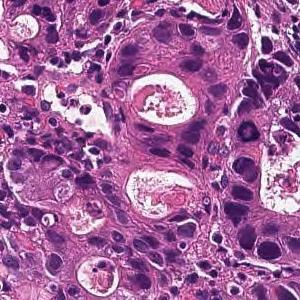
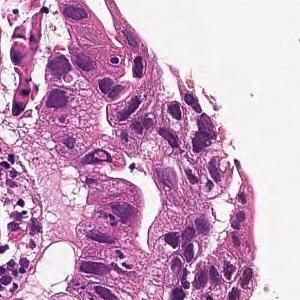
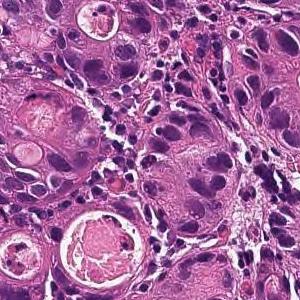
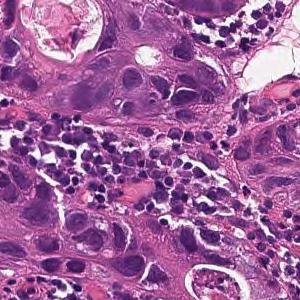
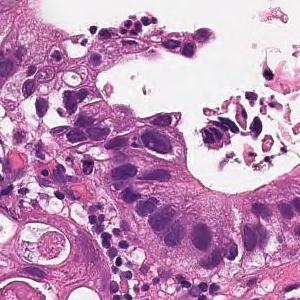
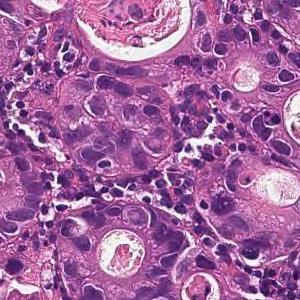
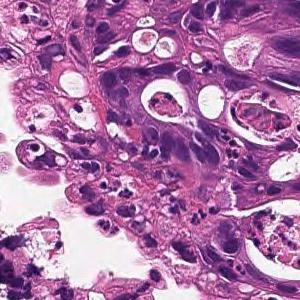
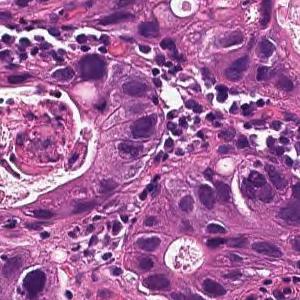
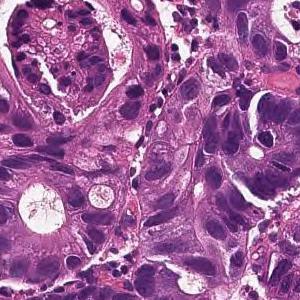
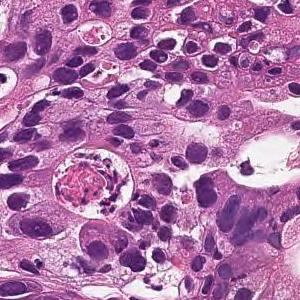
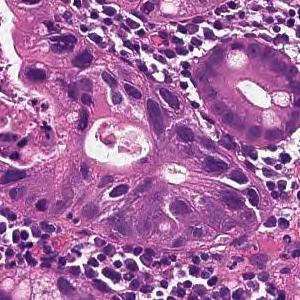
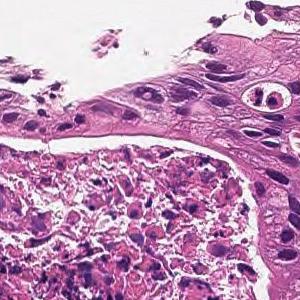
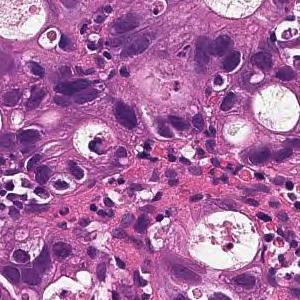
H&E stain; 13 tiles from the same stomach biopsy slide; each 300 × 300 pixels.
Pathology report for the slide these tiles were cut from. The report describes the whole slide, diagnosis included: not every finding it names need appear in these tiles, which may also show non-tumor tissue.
From the superficial epithelium to the muscularis mucosae, tumor tissue consisting of medium-sized and irregular glandular ducts infiltrating is observed. Well differentiated tubular adenocarcinoma
